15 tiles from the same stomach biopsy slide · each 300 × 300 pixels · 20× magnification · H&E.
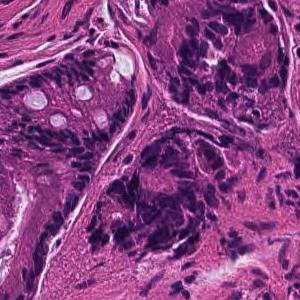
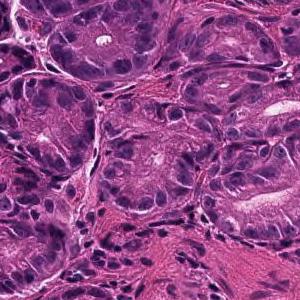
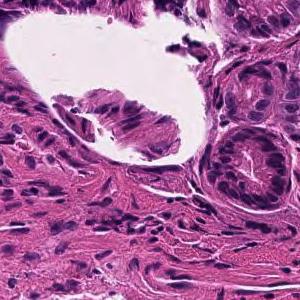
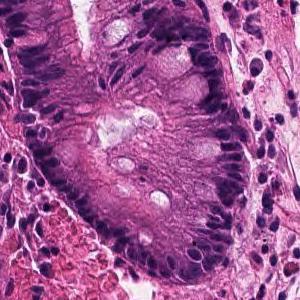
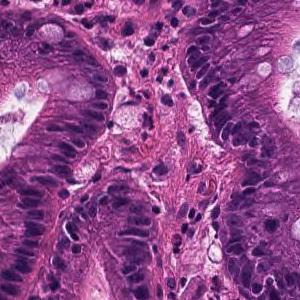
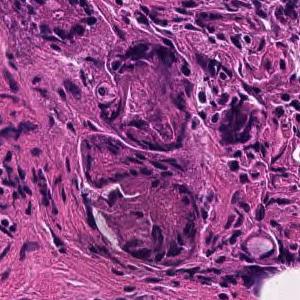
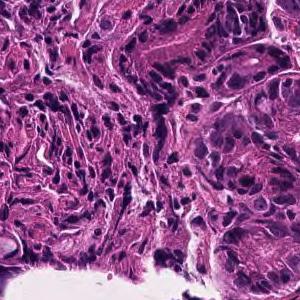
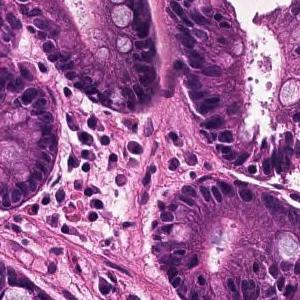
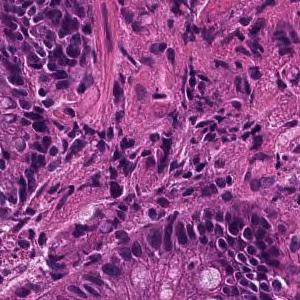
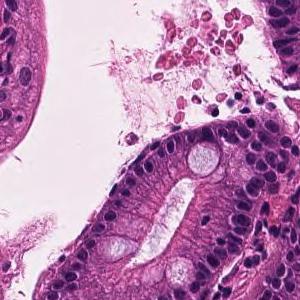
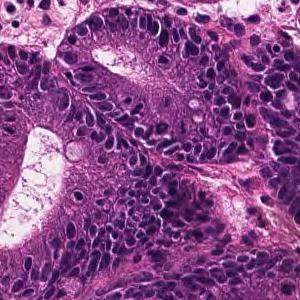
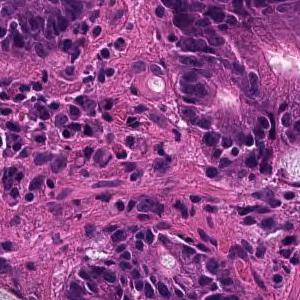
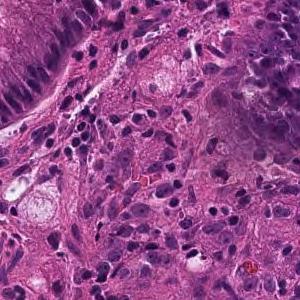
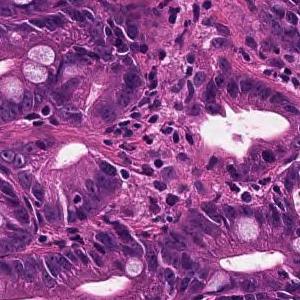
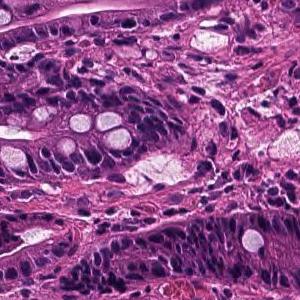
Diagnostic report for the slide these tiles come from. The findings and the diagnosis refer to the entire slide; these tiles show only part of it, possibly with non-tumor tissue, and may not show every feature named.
Medium to small, irregular glandular ducts are formed in the superficial epithelium, and in some cases, the glandular ducts are fused to show solid alveolar lesions and infiltrating tumor tissue is observed. Moderately to poorly differentiated adenocarcinoma.
